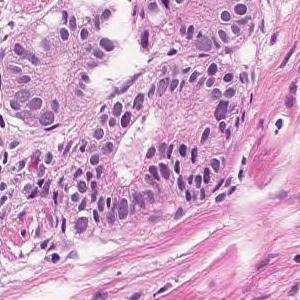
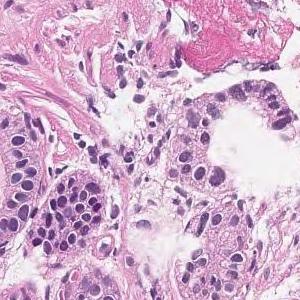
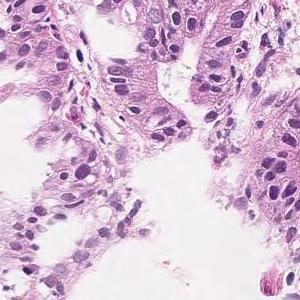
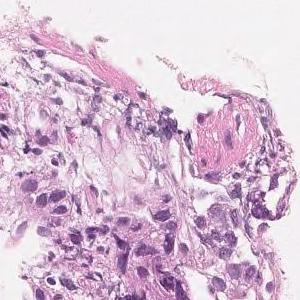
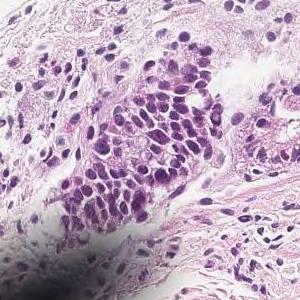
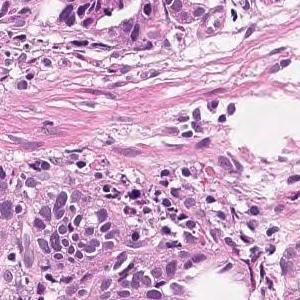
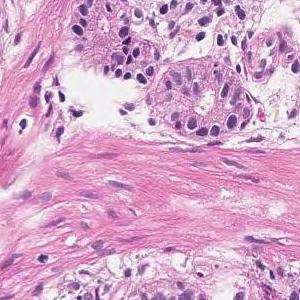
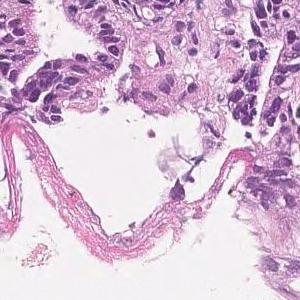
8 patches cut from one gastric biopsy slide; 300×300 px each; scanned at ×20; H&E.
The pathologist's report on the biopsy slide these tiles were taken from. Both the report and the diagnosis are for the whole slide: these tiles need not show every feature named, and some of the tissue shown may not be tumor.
In the superficial epithelium, tumor tissue that invades by forming medium-sized to small, irregular ducts is observed. moderately differentiated tubular adenocarcinoma.
